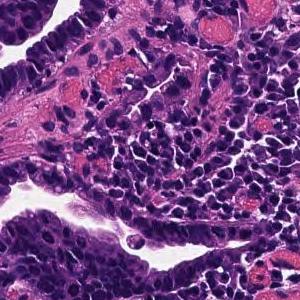
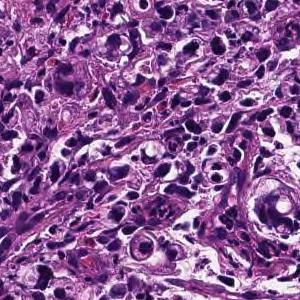
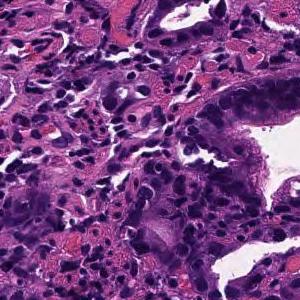
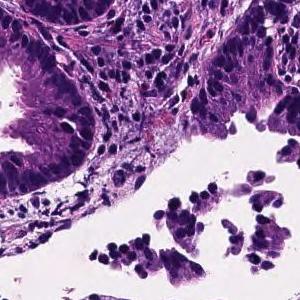
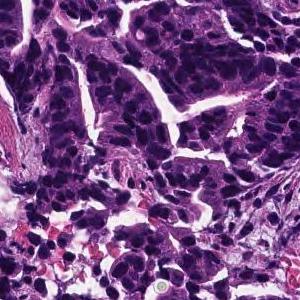
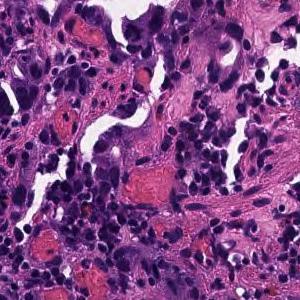
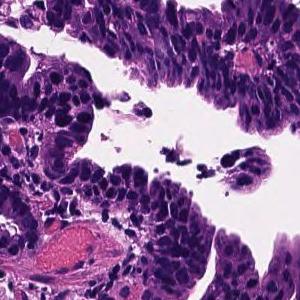
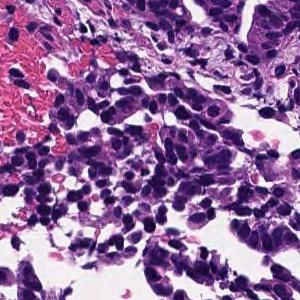
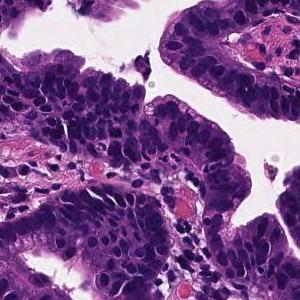
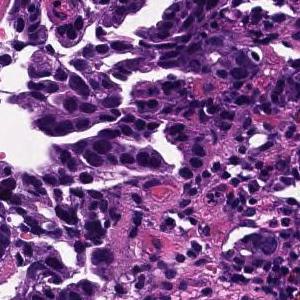
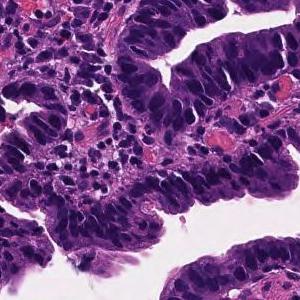
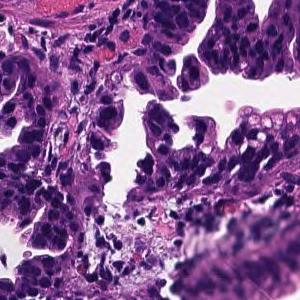
12 tiles cut from one stomach biopsy slide, H&E, ×20.
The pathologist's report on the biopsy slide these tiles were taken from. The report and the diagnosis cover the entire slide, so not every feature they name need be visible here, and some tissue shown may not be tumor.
On the superficial epithelium, tumor tissue that infiltrates by forming medium-sized papillary or small irregular ducts is observed. Papillary adenocarcinoma
